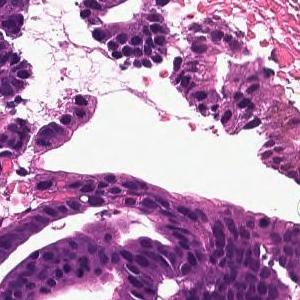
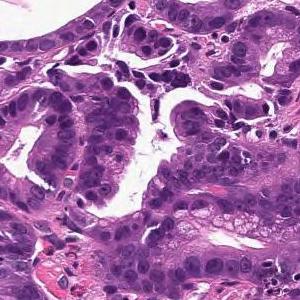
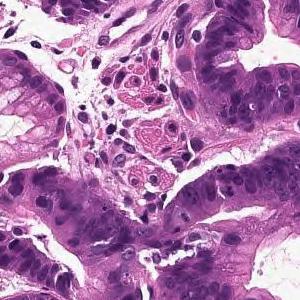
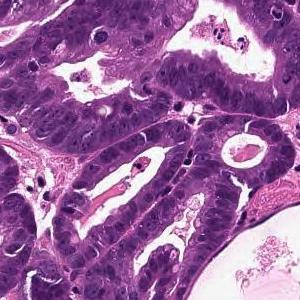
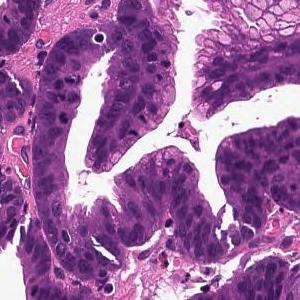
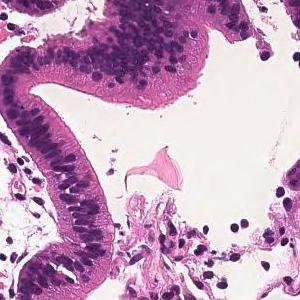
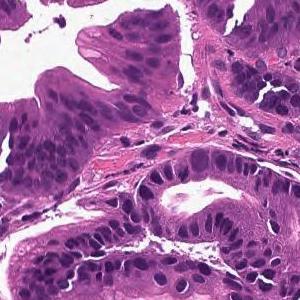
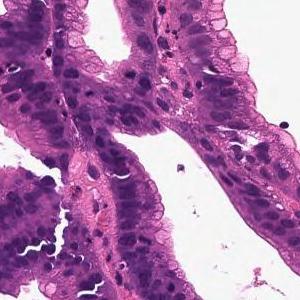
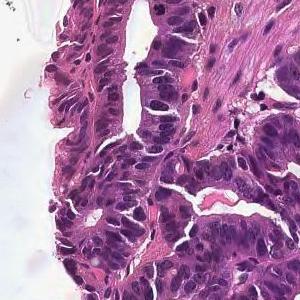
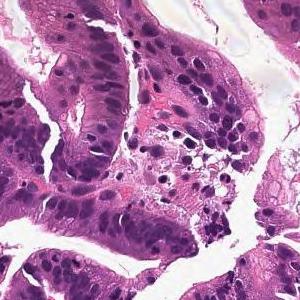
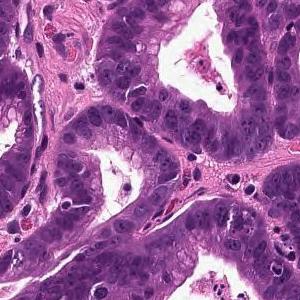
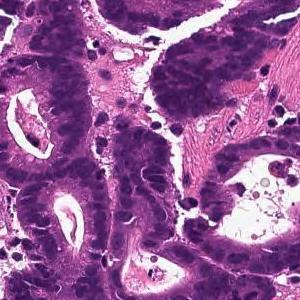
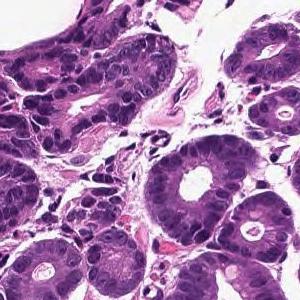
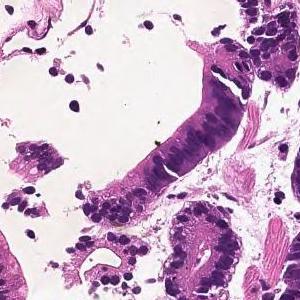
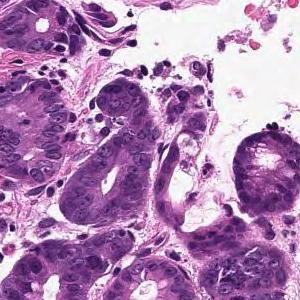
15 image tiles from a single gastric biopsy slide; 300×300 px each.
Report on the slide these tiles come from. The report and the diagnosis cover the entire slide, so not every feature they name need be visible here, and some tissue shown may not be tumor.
From the superficial epithelium to the muscularis mucosae, tumor tissue consisting of medium-sized and irregular glandular ducts infiltrating is observed. Well differentiated tubular adenocarcinoma
